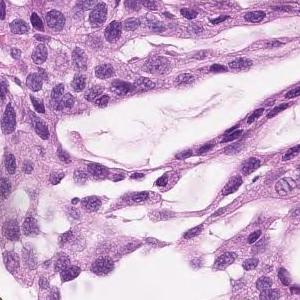
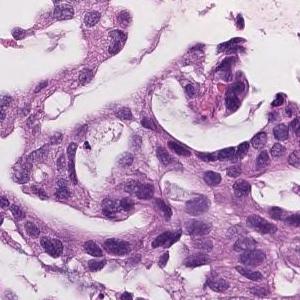
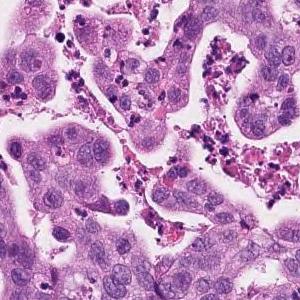
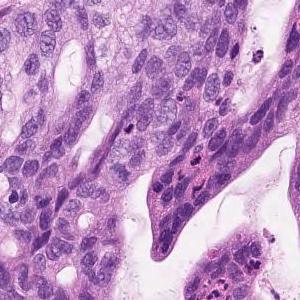
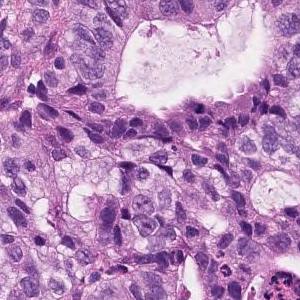
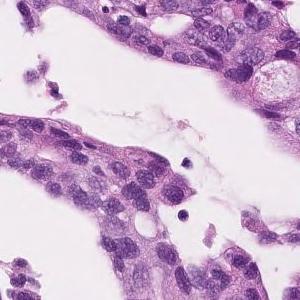
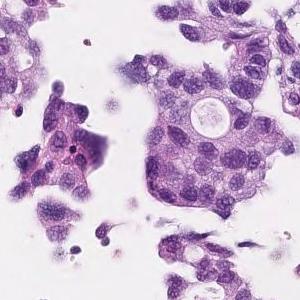
Scanned at ×20, hematoxylin and eosin stain, 7 tiles cut from one stomach biopsy slide.
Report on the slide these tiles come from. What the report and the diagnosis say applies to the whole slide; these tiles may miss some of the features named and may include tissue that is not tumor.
Atypical epithelium forming papillary or sieving ducts and infiltrating growth is observed. Papillary adenocarcinoma.
